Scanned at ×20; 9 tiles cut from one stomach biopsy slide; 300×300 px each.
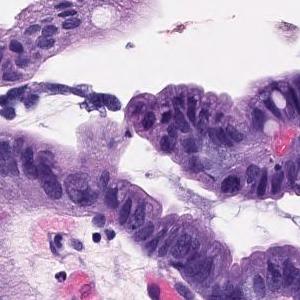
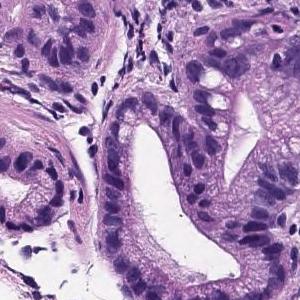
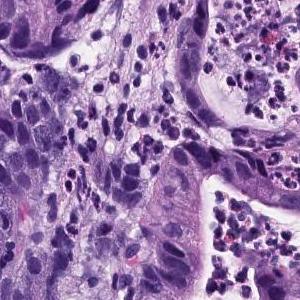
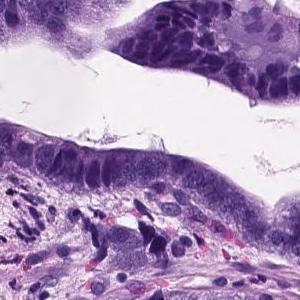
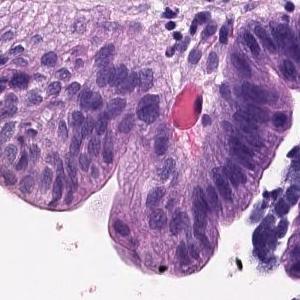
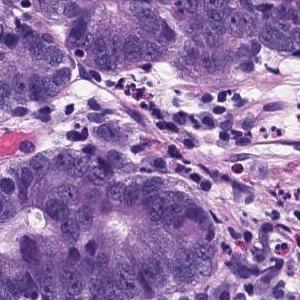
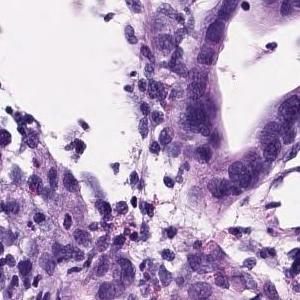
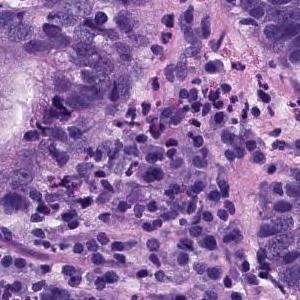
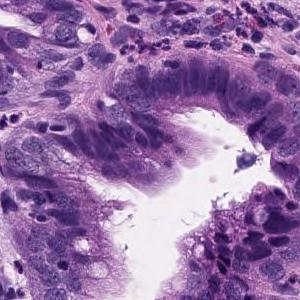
Diagnostic report for the slide these tiles come from. The report and the diagnosis cover the entire slide, so not every feature they name need be visible here, and some tissue shown may not be tumor.
Tumor tissue consisting of large papillary structures is found in the superficial epithelium. Papillary adenocarcinoma.
